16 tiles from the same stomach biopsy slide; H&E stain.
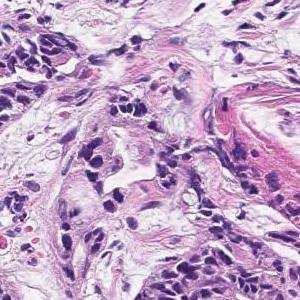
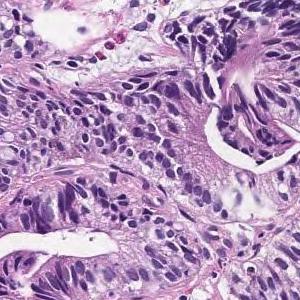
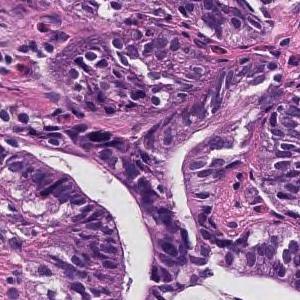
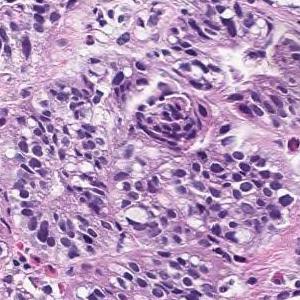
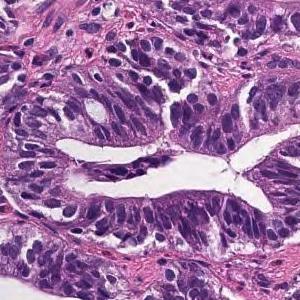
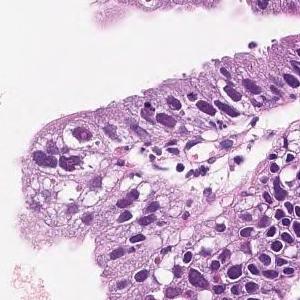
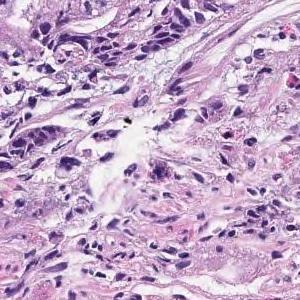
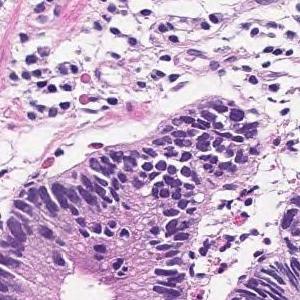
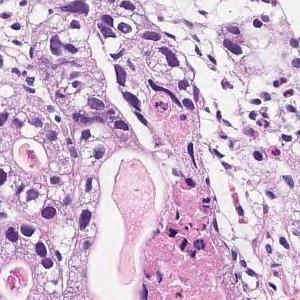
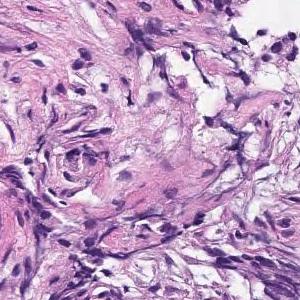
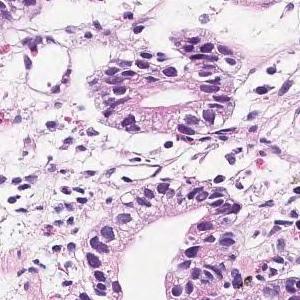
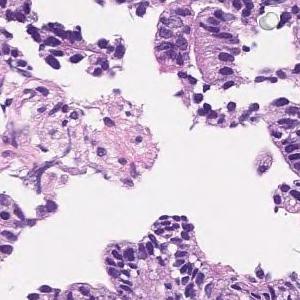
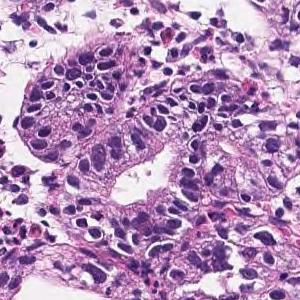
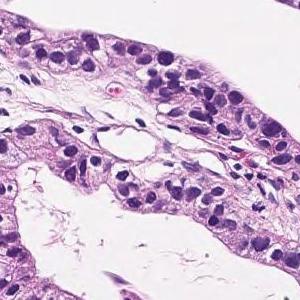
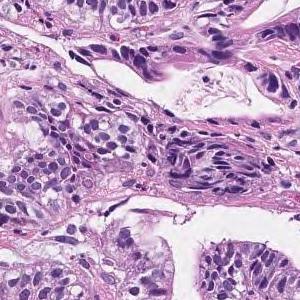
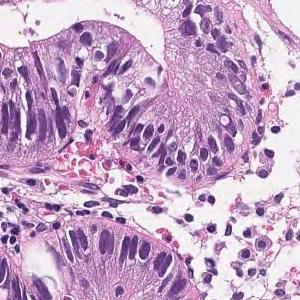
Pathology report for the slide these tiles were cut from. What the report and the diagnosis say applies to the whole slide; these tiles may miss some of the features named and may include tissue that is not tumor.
In the superficial epithelium, tumor tissue that invades by forming medium-sized to small, irregular ducts is observed. Moderately differentiated adenocarcinoma.
Histological subtype: Moderately differentiated tubular adenocarcinoma.
